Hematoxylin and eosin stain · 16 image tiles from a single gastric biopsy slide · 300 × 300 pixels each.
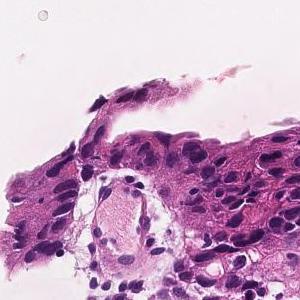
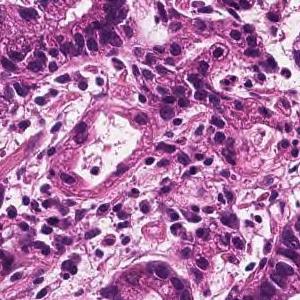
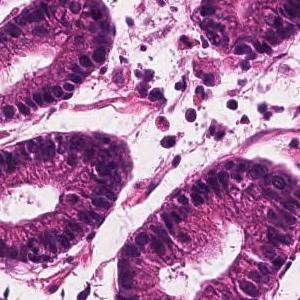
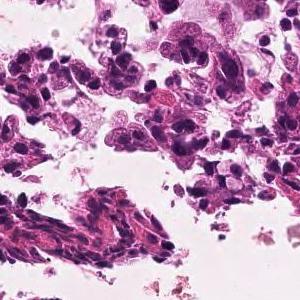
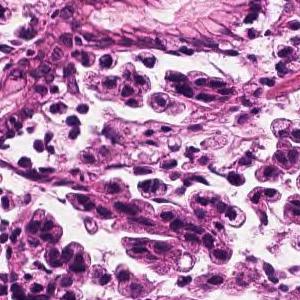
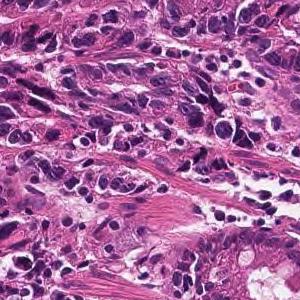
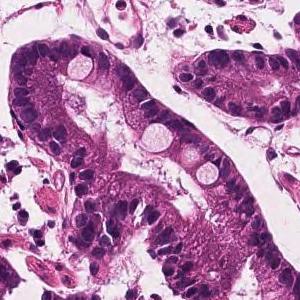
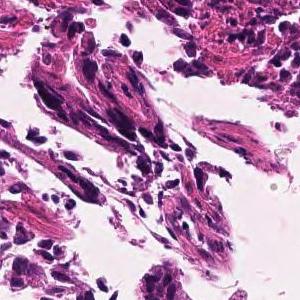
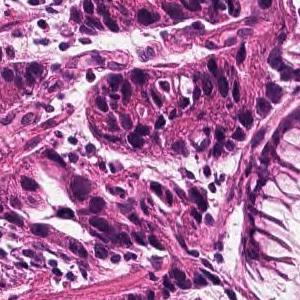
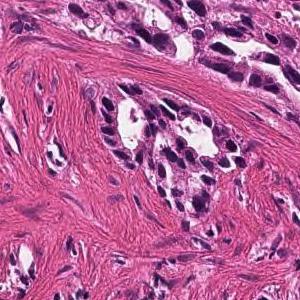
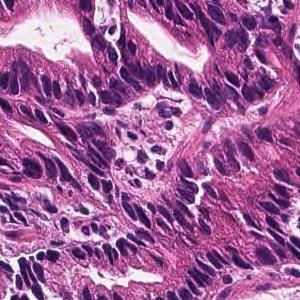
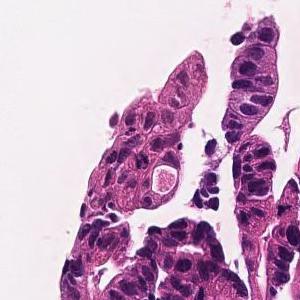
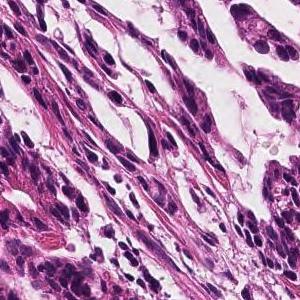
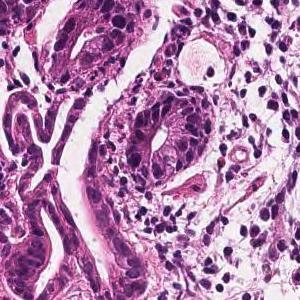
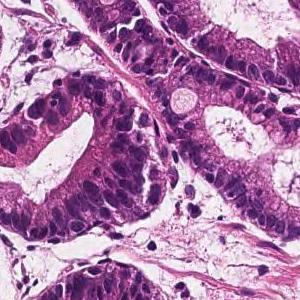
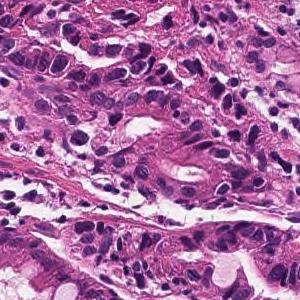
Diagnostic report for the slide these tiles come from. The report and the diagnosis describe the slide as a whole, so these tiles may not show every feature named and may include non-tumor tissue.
In the superficial epithelium, tumor tissue that invades by forming medium-sized to small, irregular ducts is observed. moderately differentiated tubular adenocarcinoma.
